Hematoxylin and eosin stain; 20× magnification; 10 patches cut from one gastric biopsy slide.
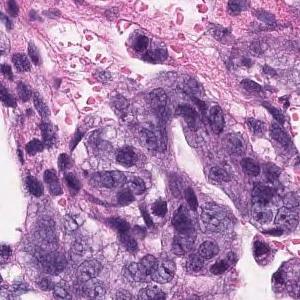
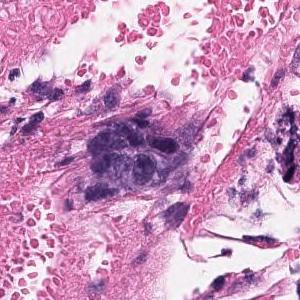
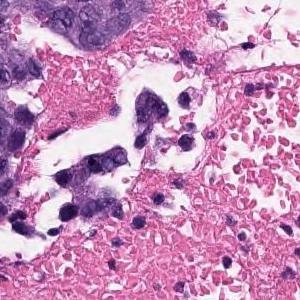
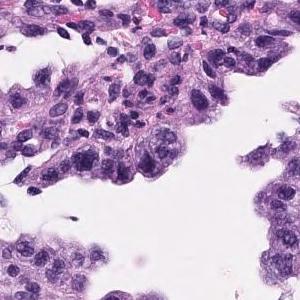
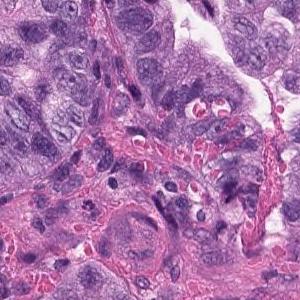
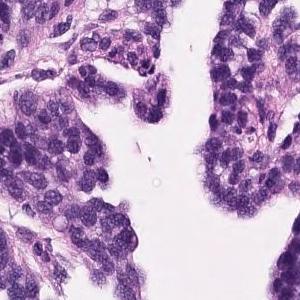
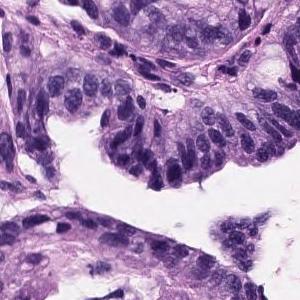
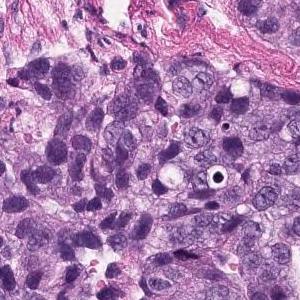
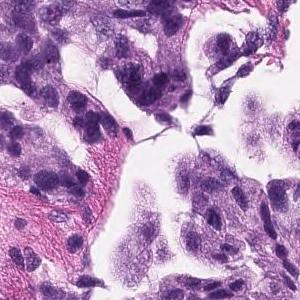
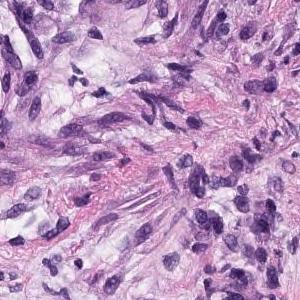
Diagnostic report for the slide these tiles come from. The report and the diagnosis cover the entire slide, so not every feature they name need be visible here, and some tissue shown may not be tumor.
Tumor cells are large, highly columnar, large club-shaped nuclei, and are associated with chromatin aggregation. Papillary adenocarcinoma.
